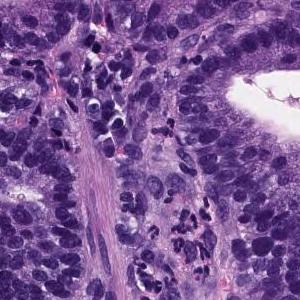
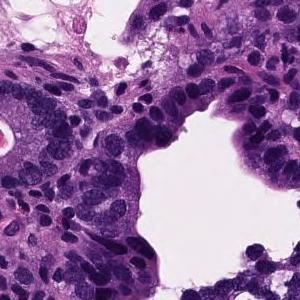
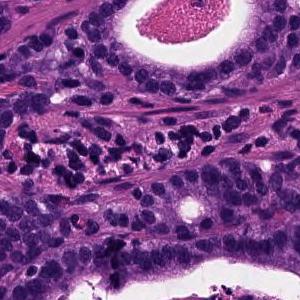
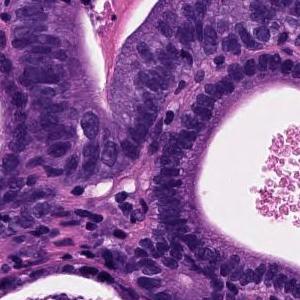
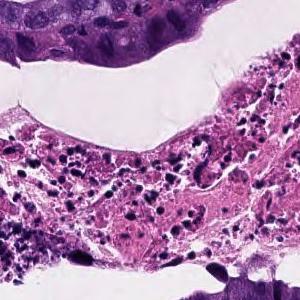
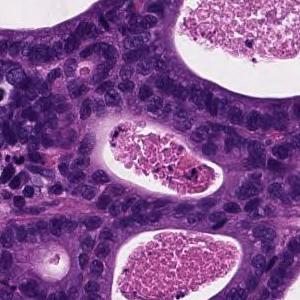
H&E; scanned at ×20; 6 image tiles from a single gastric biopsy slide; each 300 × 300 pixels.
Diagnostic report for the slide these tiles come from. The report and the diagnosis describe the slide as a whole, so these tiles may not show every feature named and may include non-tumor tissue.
From the superficial epithelium to the muscularis mucosae, tumor tissue consisting of medium-sized and irregular glandular ducts infiltrating is observed. Well differentiated tubular adenocarcinoma
